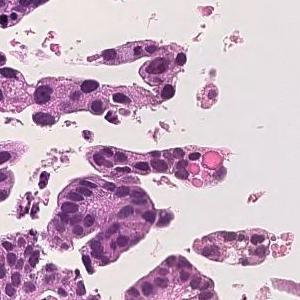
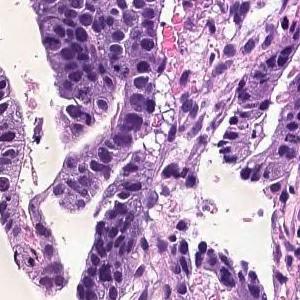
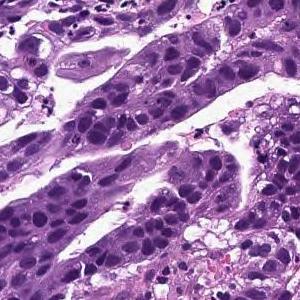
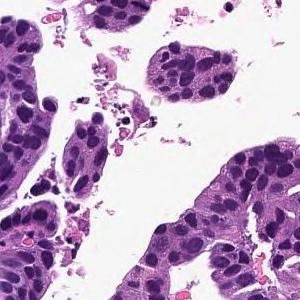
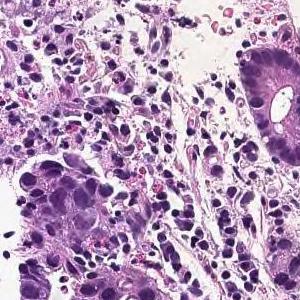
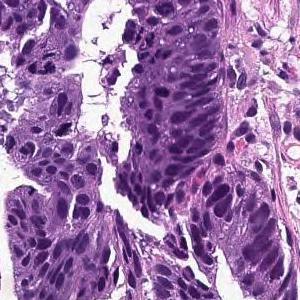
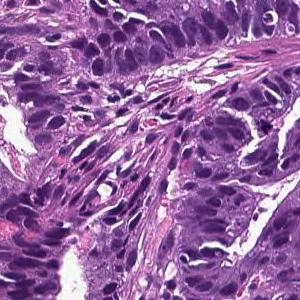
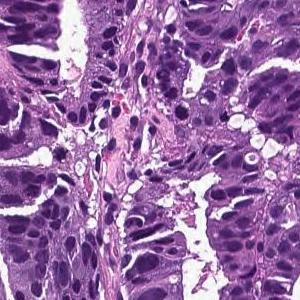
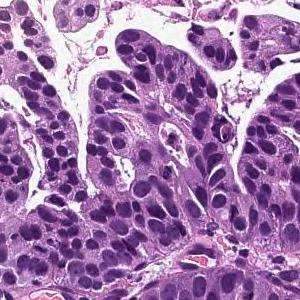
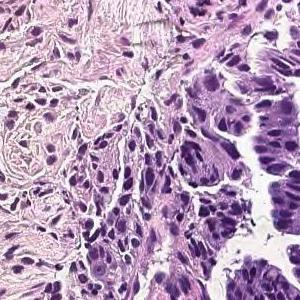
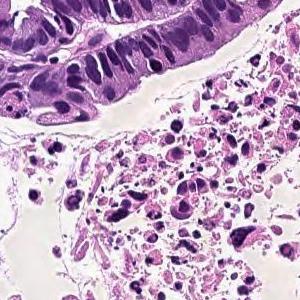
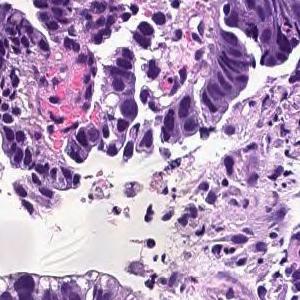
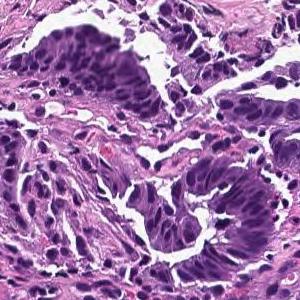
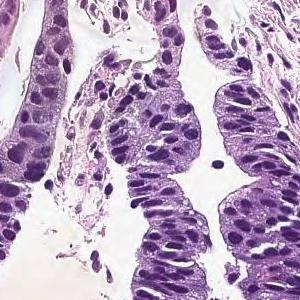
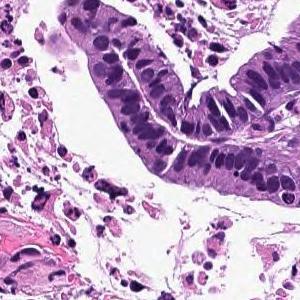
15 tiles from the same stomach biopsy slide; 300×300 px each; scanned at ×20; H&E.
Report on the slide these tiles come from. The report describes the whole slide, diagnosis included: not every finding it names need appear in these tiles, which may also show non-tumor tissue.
Tumor cells are large, highly columnar, large club-shaped nuclei, and are associated with chromatin aggregation. Papillary adenocarcinoma.
